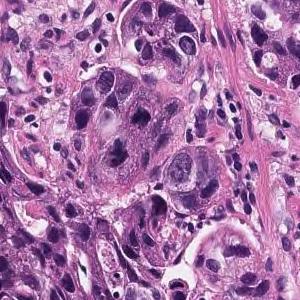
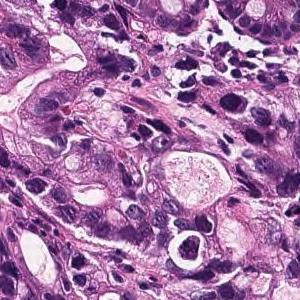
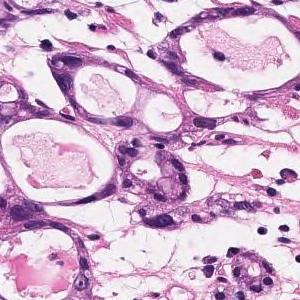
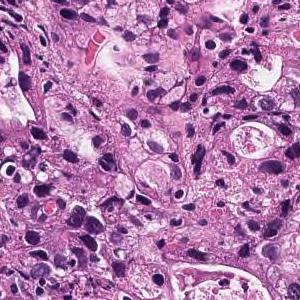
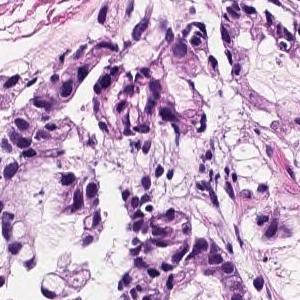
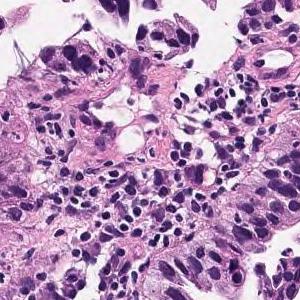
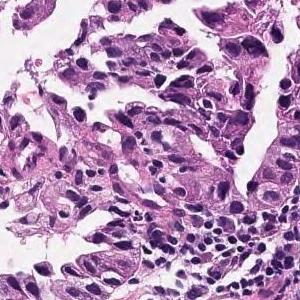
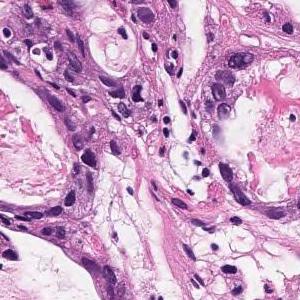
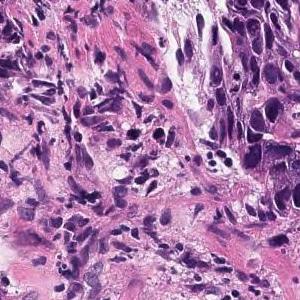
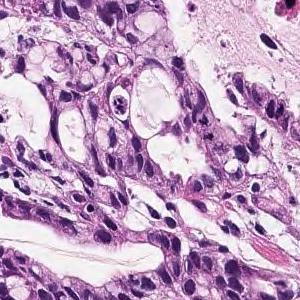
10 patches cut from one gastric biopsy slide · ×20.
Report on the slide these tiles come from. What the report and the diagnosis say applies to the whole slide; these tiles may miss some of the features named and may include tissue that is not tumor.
In the superficial epithelium, tumor tissue that invades by forming medium-sized to small, irregular ducts is observed. Moderately differentiated adenocarcinoma.
Histologic type: Moderately differentiated tubular adenocarcinoma.
